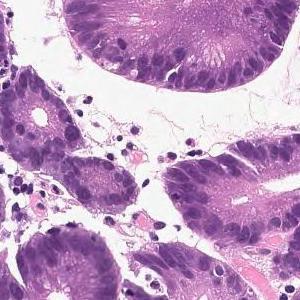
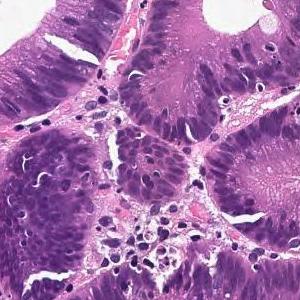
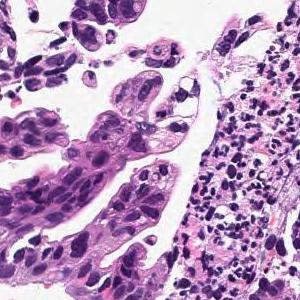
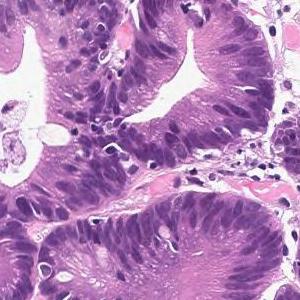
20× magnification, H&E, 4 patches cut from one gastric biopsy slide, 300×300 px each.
Pathology report for the slide these tiles were cut from. The findings and the diagnosis refer to the entire slide; these tiles show only part of it, possibly with non-tumor tissue, and may not show every feature named.
In the superficial epithelium, tumor tissue that invades by forming medium-sized to small, irregular ducts is observed. moderately differentiated tubular adenocarcinoma.
